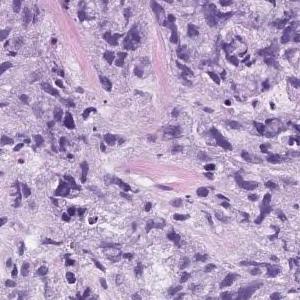
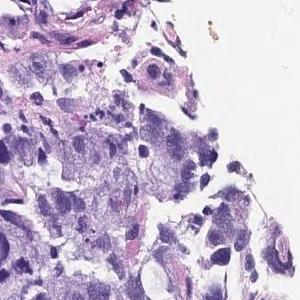
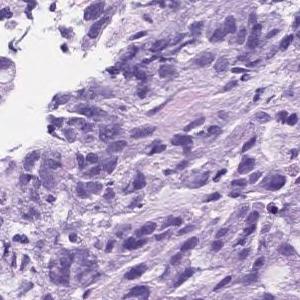
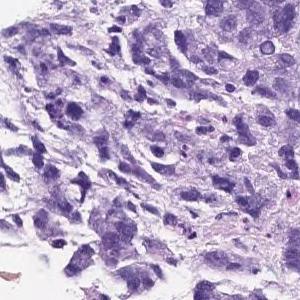
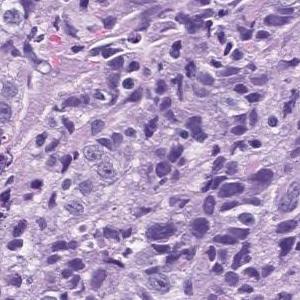
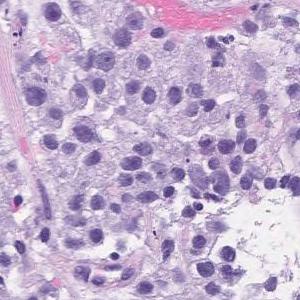
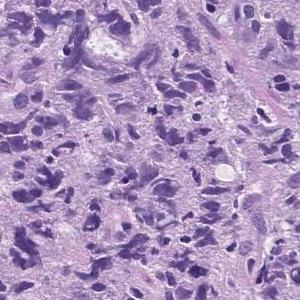
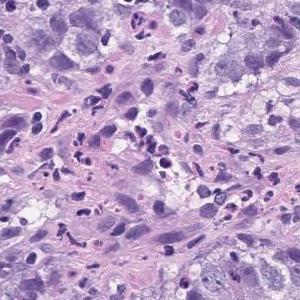
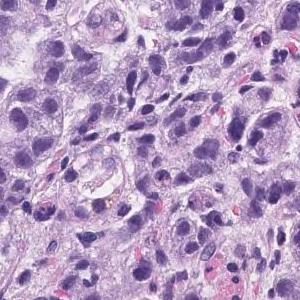
×20 · 9 patches cut from one gastric biopsy slide · 300 × 300 pixels each.
Pathology report for the slide these tiles were cut from. The report describes the whole slide, diagnosis included: not every finding it names need appear in these tiles, which may also show non-tumor tissue.
Atypical l cells with atypical nuclei forming solid vesicles or small irregular atypical ducts that proliferate in a complex manner. poorly differentiated adenocarcinoma, solid type, moderately differentiated tubular adenocarcinoma
"Solid type" is a category of the Japanese Classification of Gastric Carcinoma; in the WHO 2019 classification it is tubular adenocarcinoma, poorly differentiated.
